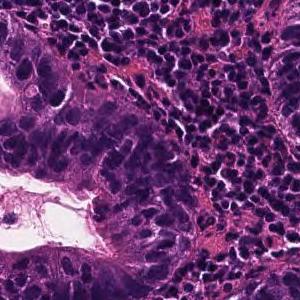
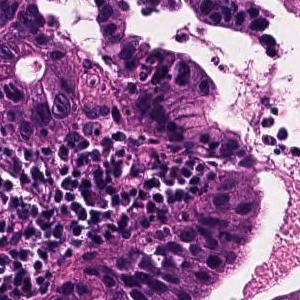
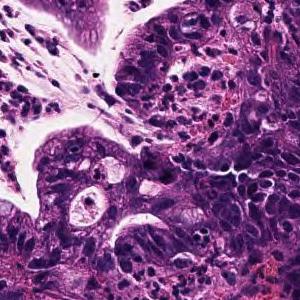
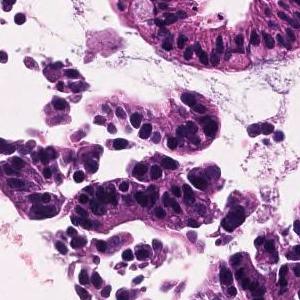
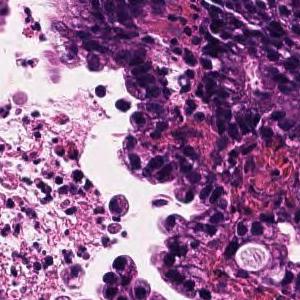
Scanned at ×20; hematoxylin and eosin stain; 5 patches cut from one gastric biopsy slide.
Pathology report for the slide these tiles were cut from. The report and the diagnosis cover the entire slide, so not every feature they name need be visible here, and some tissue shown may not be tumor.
Tumor cells are large, highly columnar, large club-shaped nuclei, and are associated with chromatin aggregation. Papillary adenocarcinoma.
